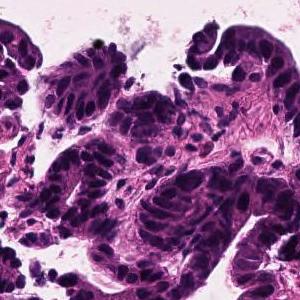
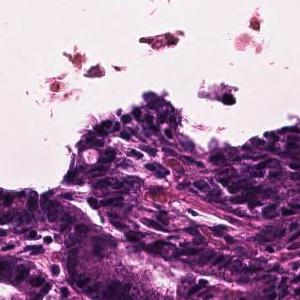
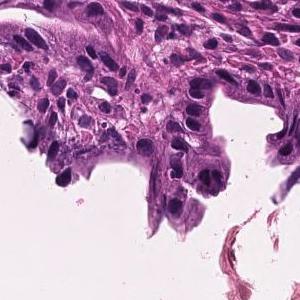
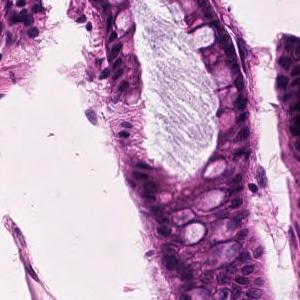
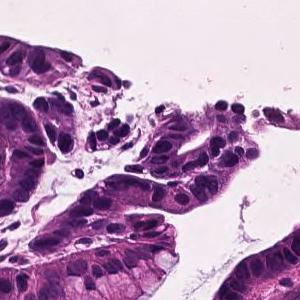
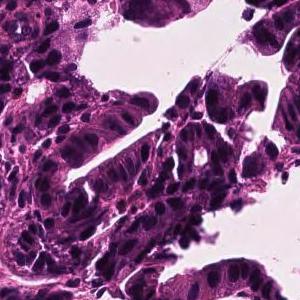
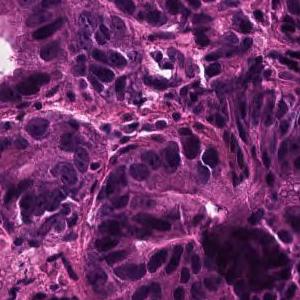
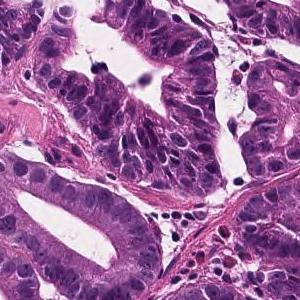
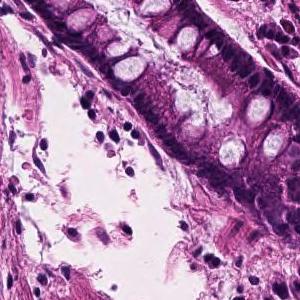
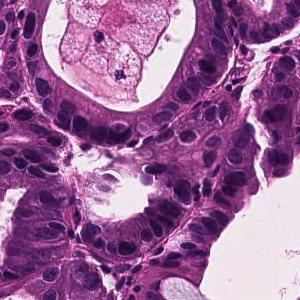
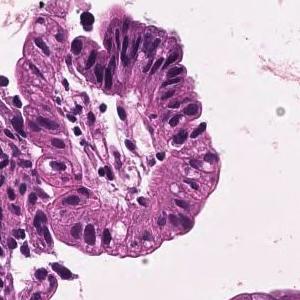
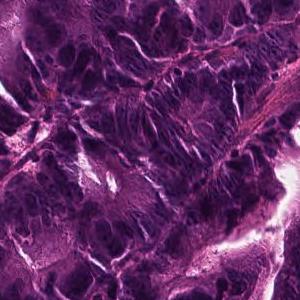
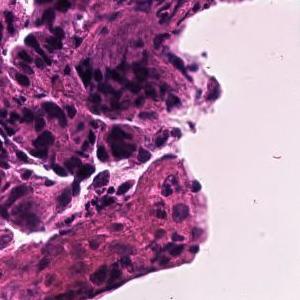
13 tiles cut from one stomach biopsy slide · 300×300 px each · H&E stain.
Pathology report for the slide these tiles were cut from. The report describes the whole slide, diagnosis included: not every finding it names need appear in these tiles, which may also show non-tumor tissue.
In the superficial epithelium, tumor tissue that invades by forming medium-sized to small, irregular ducts is observed. Well differentiated tubular adenocarcinoma.
